16 patches cut from one gastric biopsy slide; 300×300 px each; scanned at ×20; hematoxylin and eosin stain.
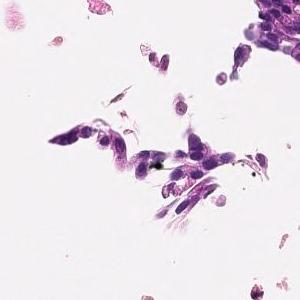
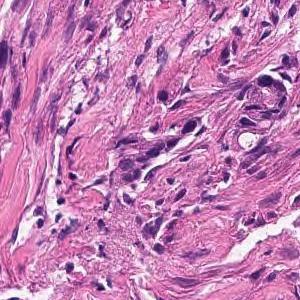
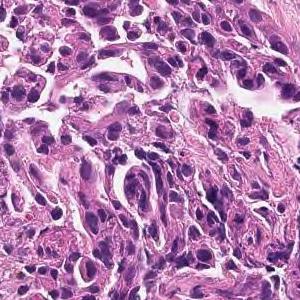
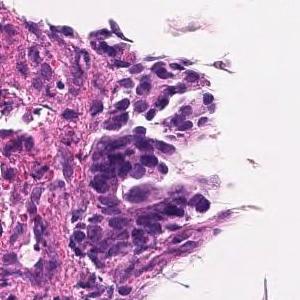
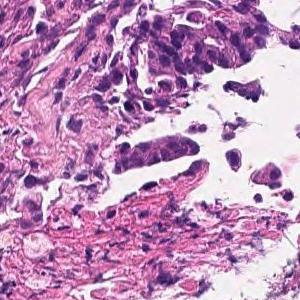
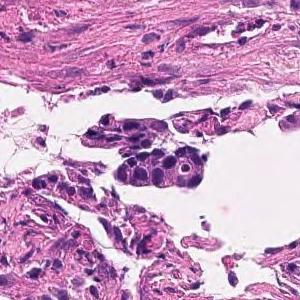
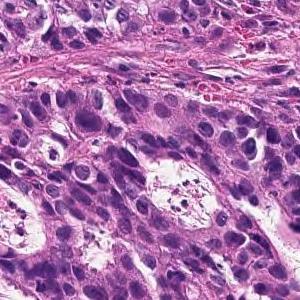
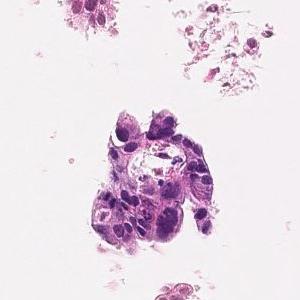
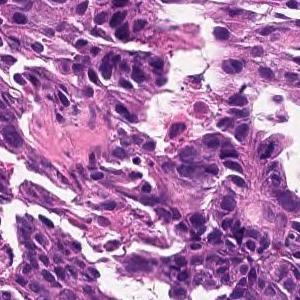
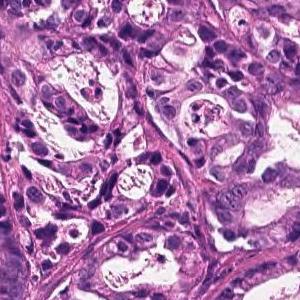
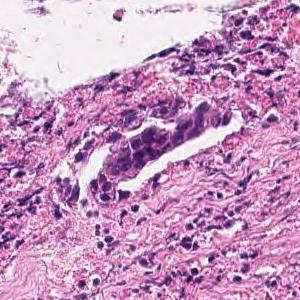
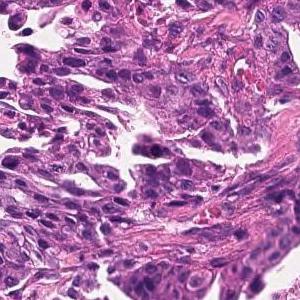
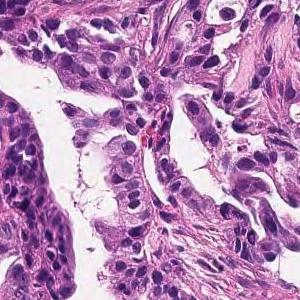
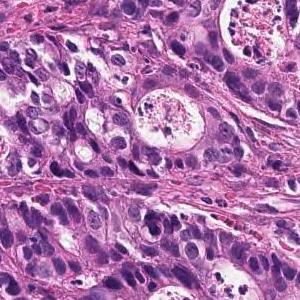
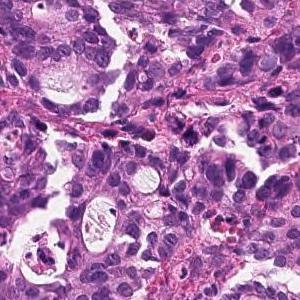
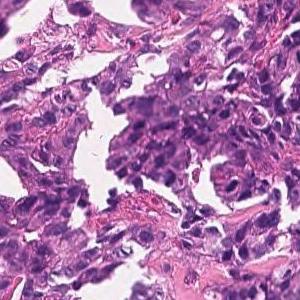
Pathology report for the slide these tiles were cut from. The findings and the diagnosis refer to the entire slide; these tiles show only part of it, possibly with non-tumor tissue, and may not show every feature named.
On the superficial epithelium, tumor tissue consisting of images of small to medium-sized and irregular tubules infiltrating with irregular fusion is observed. moderately differentiated tubular adenocarcinoma
